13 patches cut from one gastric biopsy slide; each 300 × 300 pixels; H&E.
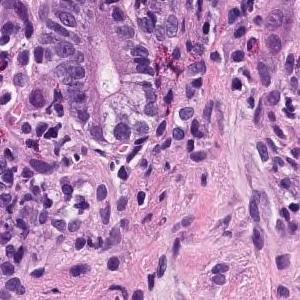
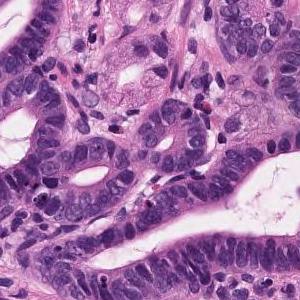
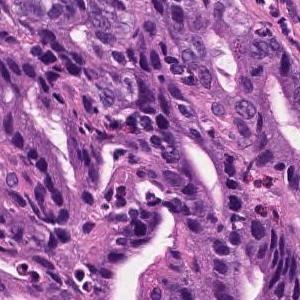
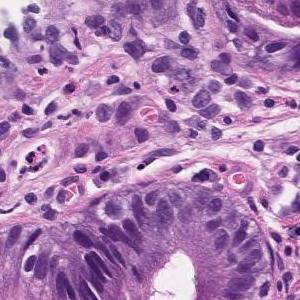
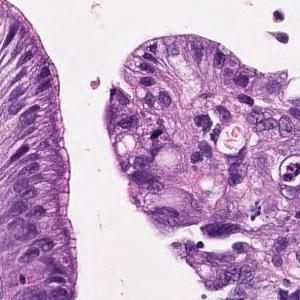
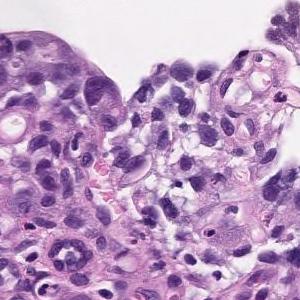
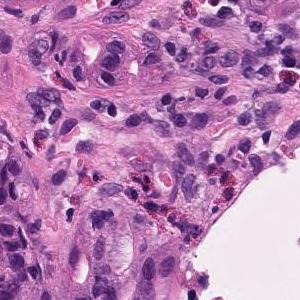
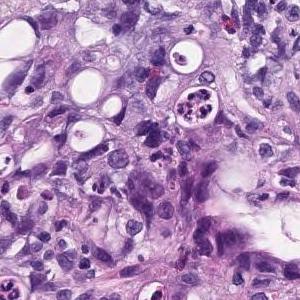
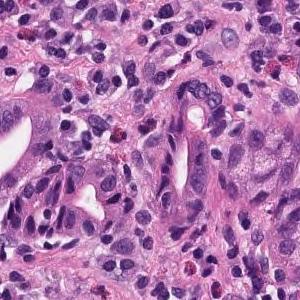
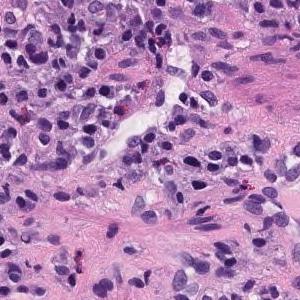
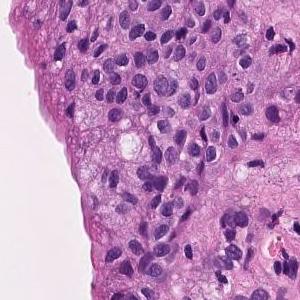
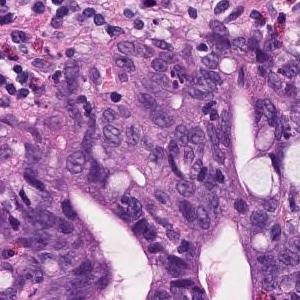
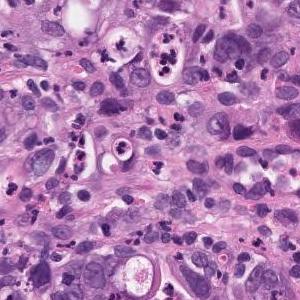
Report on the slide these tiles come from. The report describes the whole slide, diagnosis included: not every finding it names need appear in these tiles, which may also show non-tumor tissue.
moderately differentiated tubular adenocarcinoma, Poorly differentiated adenocarcinoma
Labeled in the dataset as poorly differentiated adenocarcinoma, solid type. This name comes from the Japanese Classification of Gastric Carcinoma; the WHO 2019 classification calls it tubular adenocarcinoma, poorly differentiated.
